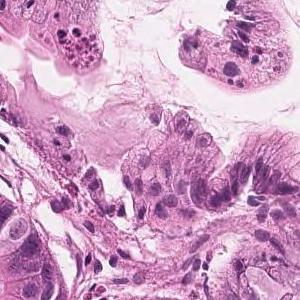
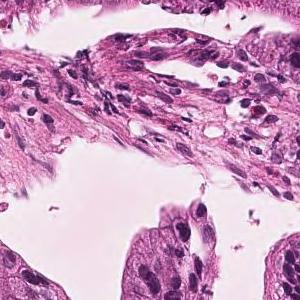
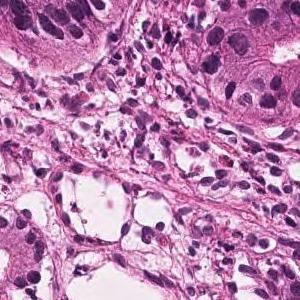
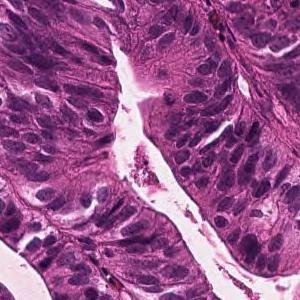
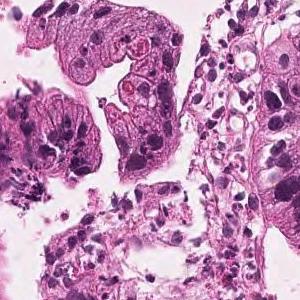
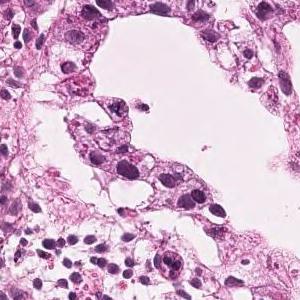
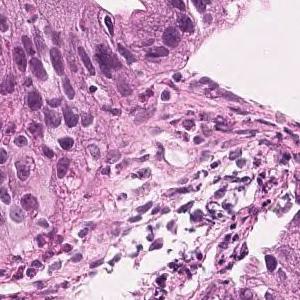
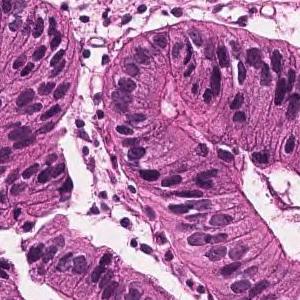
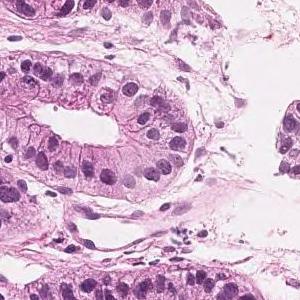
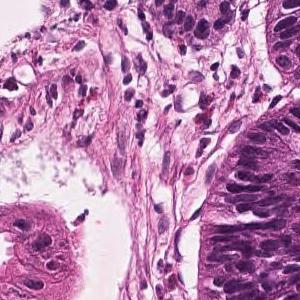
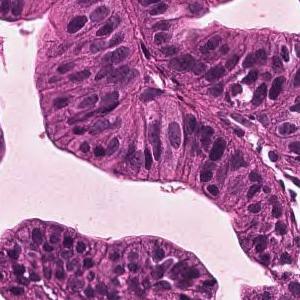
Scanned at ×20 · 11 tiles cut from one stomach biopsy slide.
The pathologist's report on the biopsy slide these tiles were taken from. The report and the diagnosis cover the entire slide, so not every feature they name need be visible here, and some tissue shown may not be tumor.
Tumor tissue consisting of medium-sized and irregular ducts is observed infiltrating in the superficial epithelium. Tumor cells are highly columnar, with nuclei aligned basolaterally and polarized. Well differentiated tubular adenocarcinoma.
